H&E stain, 20× magnification, 15 tiles cut from one stomach biopsy slide.
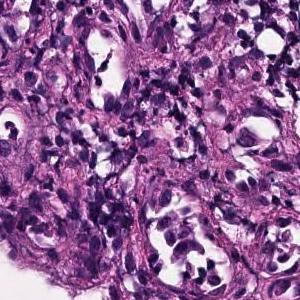
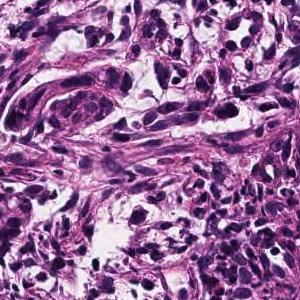
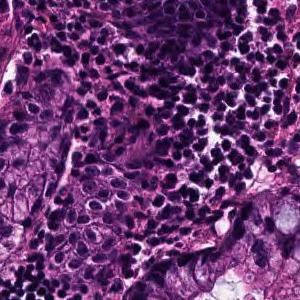
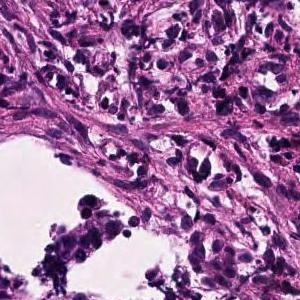
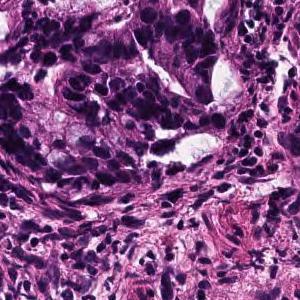
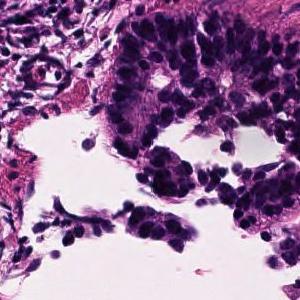
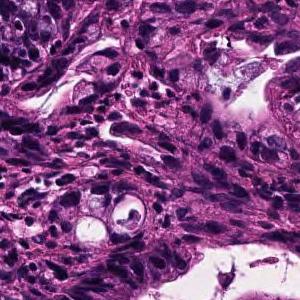
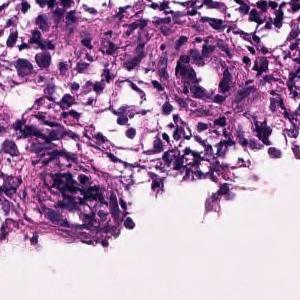
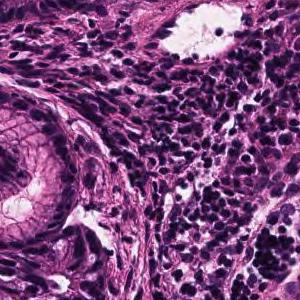
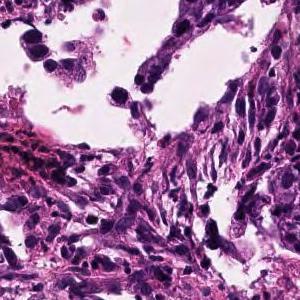
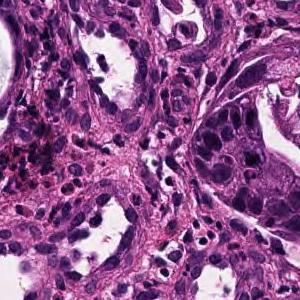
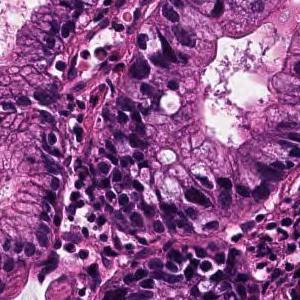
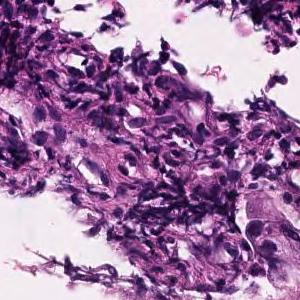
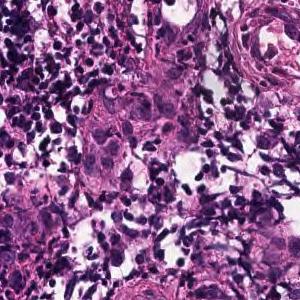
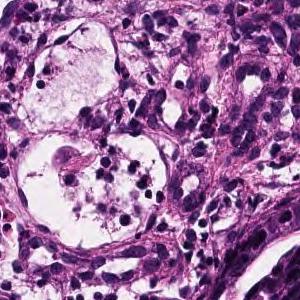
Diagnostic report for the slide these tiles come from. The report and the diagnosis describe the slide as a whole, so these tiles may not show every feature named and may include non-tumor tissue.
On the superficial epithelium, tumor tissue consisting of large, irregular glandular ducts partially fused and infiltrated is observed. Well to moderately differentiated tubular adenocarcinoma (well differentiated tubular adenocarcinoma, moderately differentiated tubular adenocarcinoma)
Histological subtype: Well to moderately differentiated tubular adenocarcinoma.
